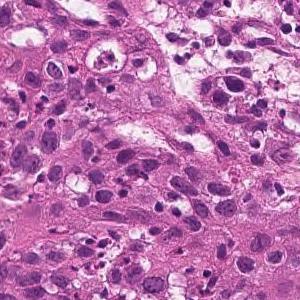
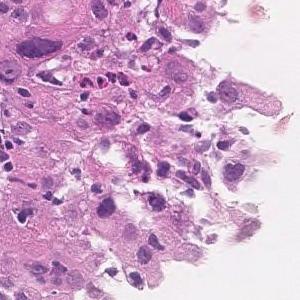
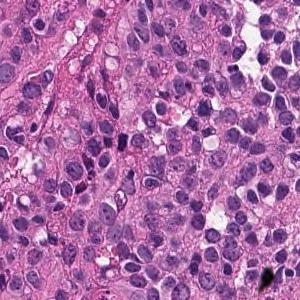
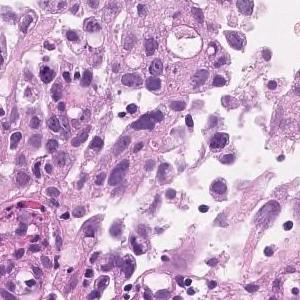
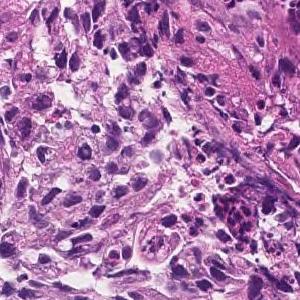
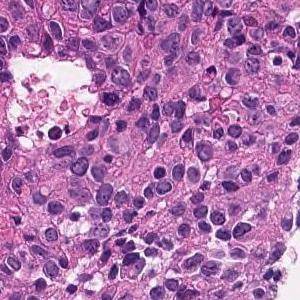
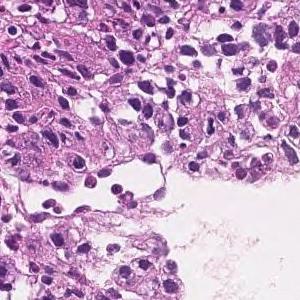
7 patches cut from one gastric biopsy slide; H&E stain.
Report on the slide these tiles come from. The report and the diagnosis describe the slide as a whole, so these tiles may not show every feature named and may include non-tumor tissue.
The superficial epithelium shows a large sheet-like shape, and some tumor tissue infiltrates with small irregular ducts. Poorly differentiated adenocarcinoma, solid-type
Tumor subtype: poorly differentiated adenocarcinoma, solid type (Japanese Classification of Gastric Carcinoma). The WHO 2019 equivalent is tubular adenocarcinoma, poorly differentiated.
